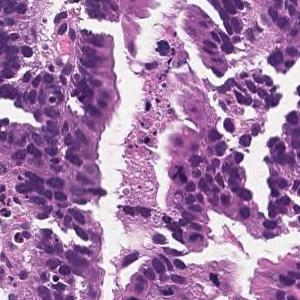
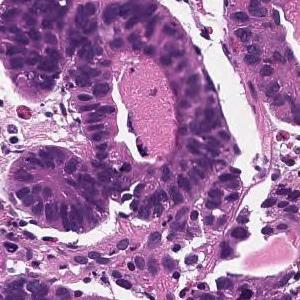
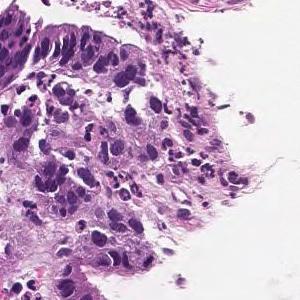
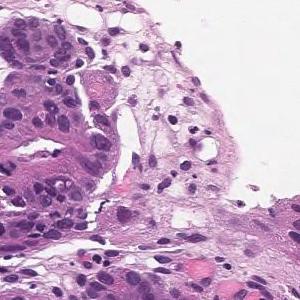
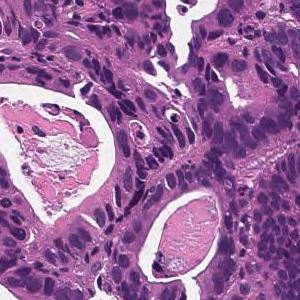
20× magnification, H&E stain, 5 tiles cut from one stomach biopsy slide.
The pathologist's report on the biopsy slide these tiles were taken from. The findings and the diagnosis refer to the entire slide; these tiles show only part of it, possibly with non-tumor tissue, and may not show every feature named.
In the superficial epithelium, tumor tissue that invades by forming medium-sized to small, irregular ducts is observed. moderately differentiated tubular adenocarcinoma.
